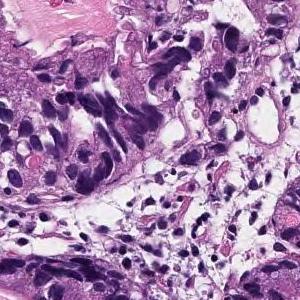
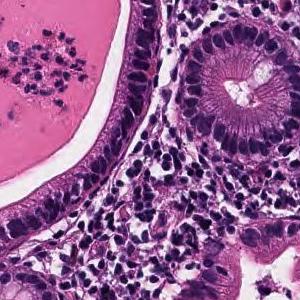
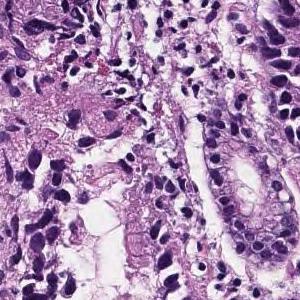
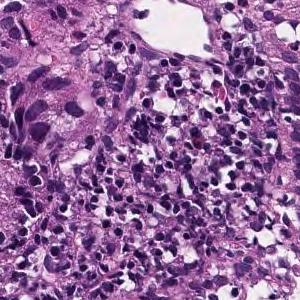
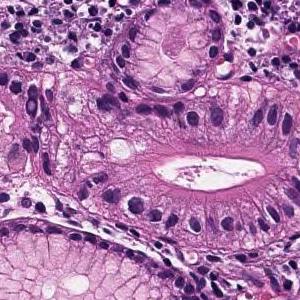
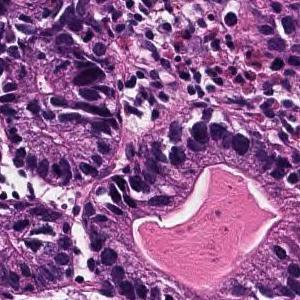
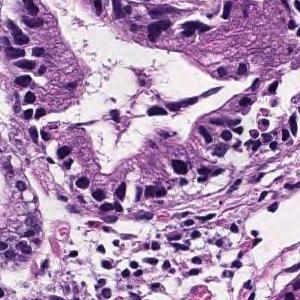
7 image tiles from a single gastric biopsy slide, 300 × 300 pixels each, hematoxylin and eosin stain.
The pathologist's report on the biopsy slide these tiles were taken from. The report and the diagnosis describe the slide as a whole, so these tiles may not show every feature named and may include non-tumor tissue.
From the superficial epithelium to the muscularis mucosae, tumor tissue consisting of medium-sized and irregular glandular ducts infiltrating is observed. Well differentiated tubular adenocarcinoma
